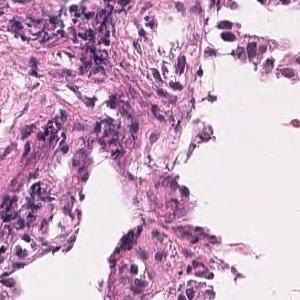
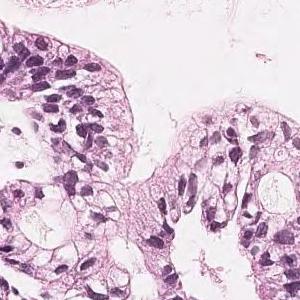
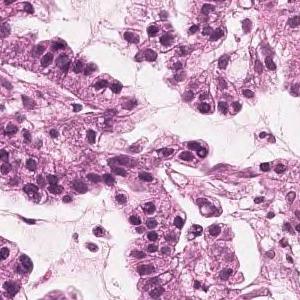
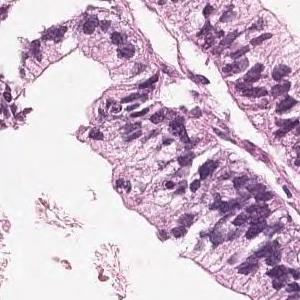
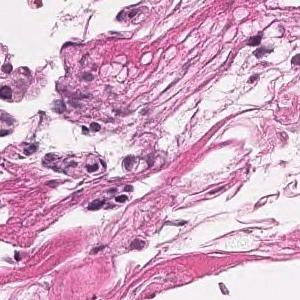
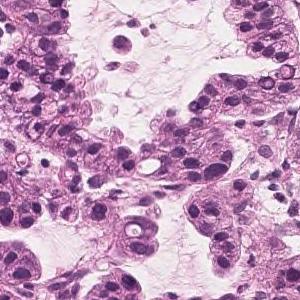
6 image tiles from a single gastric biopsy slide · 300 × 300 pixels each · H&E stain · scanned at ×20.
The pathologist's report on the biopsy slide these tiles were taken from. Both the report and the diagnosis are for the whole slide: these tiles need not show every feature named, and some of the tissue shown may not be tumor.
Tumor cells are large, highly columnar, large club-shaped nuclei, and are associated with chromatin aggregation. Papillary adenocarcinoma.
